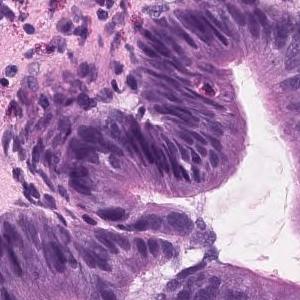
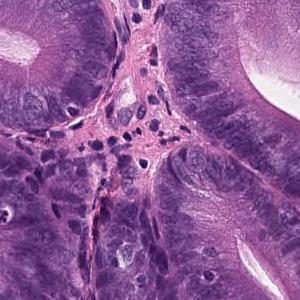
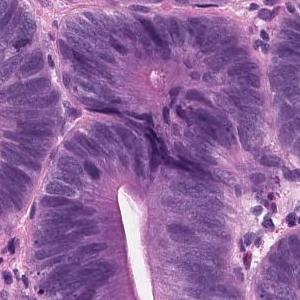
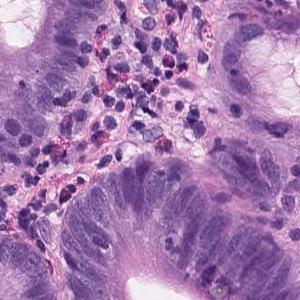
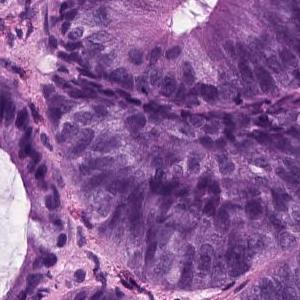
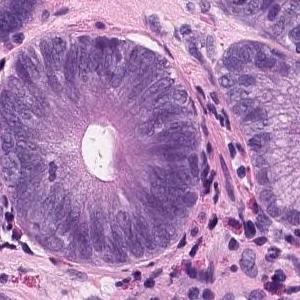
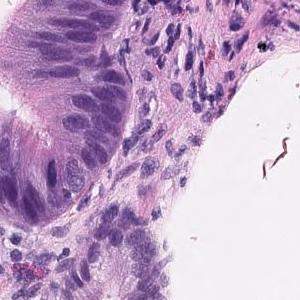
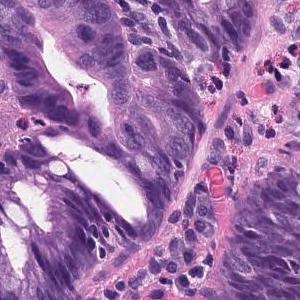
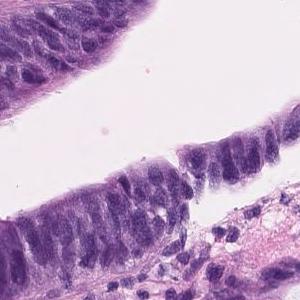
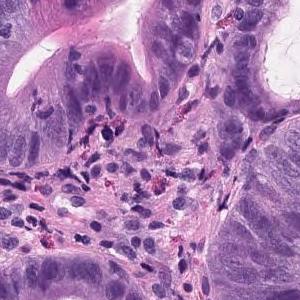
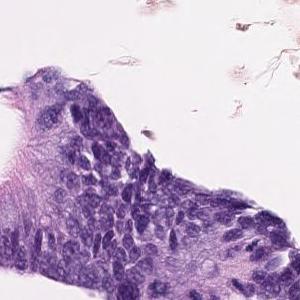
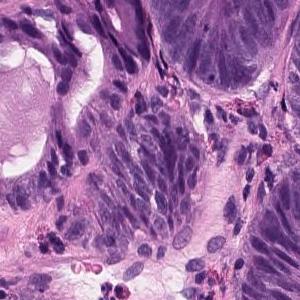
Scanned at ×20; 12 patches cut from one gastric biopsy slide; each 300 × 300 pixels.
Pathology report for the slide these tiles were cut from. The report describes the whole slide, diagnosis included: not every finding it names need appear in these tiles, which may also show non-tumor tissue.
On the superficial epithelium, tumor tissue with densely growing medium to large, round tubules is observed. Tumor cells are highly columnar, with nuclei aligned basolaterally and polarized. Well differentiated tubular adenocarcinoma
